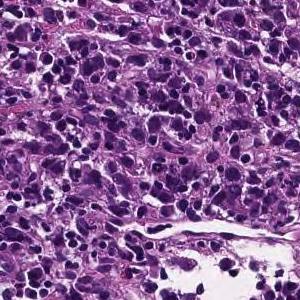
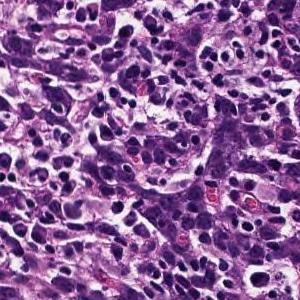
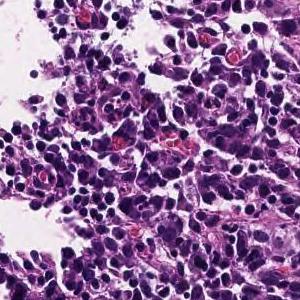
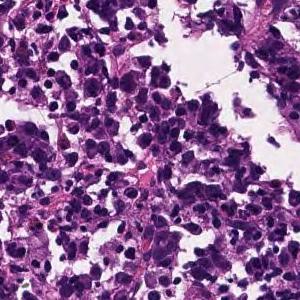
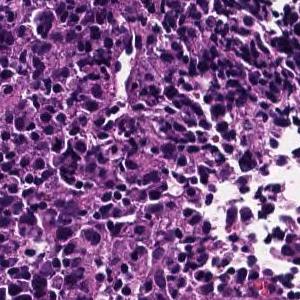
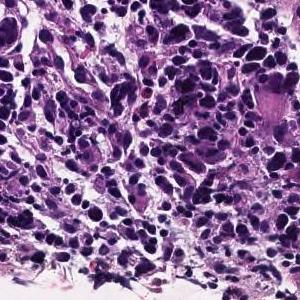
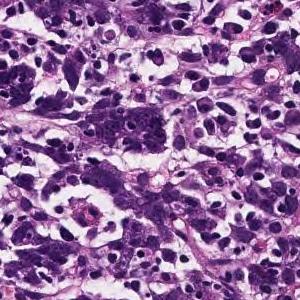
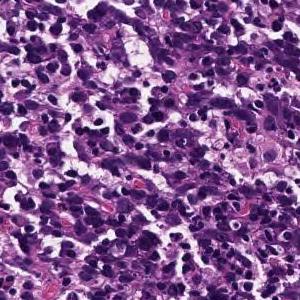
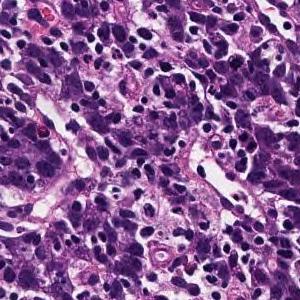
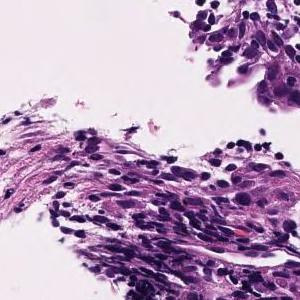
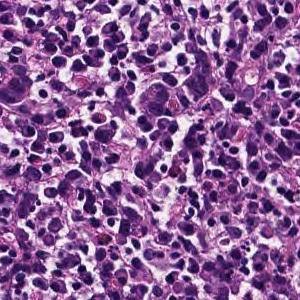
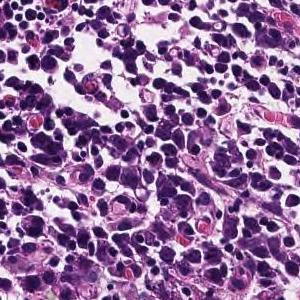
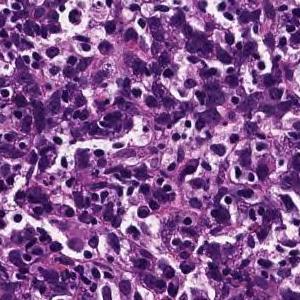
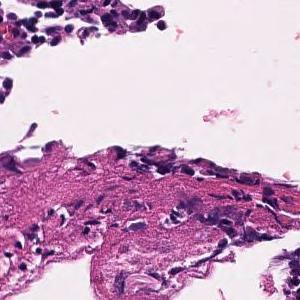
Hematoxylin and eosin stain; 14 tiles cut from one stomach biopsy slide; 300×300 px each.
The pathologist's report on the biopsy slide these tiles were taken from. The report and the diagnosis cover the entire slide, so not every feature they name need be visible here, and some tissue shown may not be tumor.
Tumor tissue consisting of cord-like or small, irregular glandular ducts fused and infiltrated is observed in the superficial epithelium. Poorly differentiated adenocarcinoma, non-solid type
The term "non-solid type" comes from the Japanese Classification of Gastric Carcinoma.
